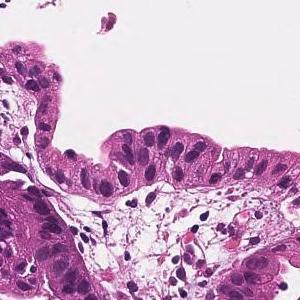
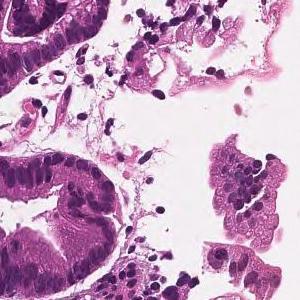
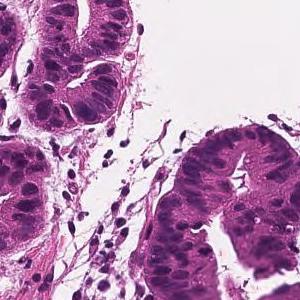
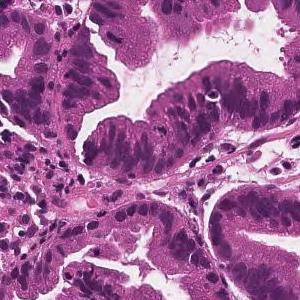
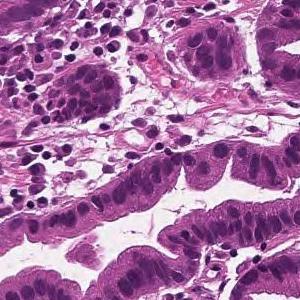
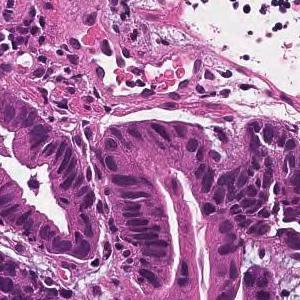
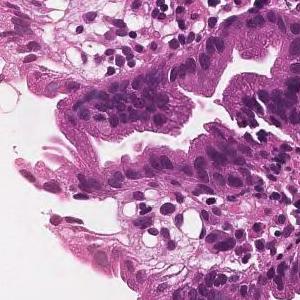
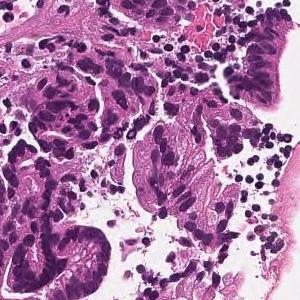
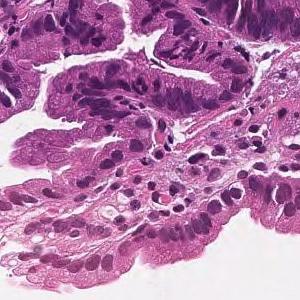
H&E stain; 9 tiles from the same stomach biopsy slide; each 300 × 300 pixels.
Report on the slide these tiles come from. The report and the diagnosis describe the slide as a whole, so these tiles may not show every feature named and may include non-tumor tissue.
From the superficial epithelium to the muscularis mucosae, tumor tissue consisting of medium-sized and irregular glandular ducts infiltrating is observed. Well differentiated tubular adenocarcinoma
